7 patches cut from one gastric biopsy slide · scanned at ×20 · H&E stain.
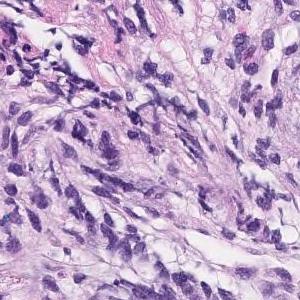
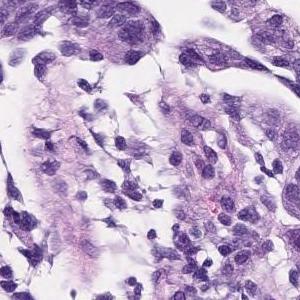
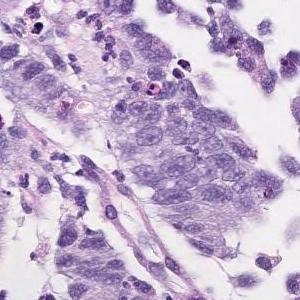
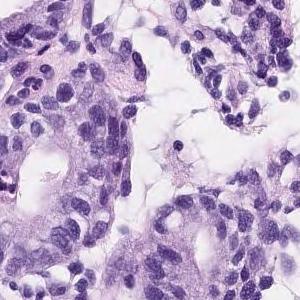
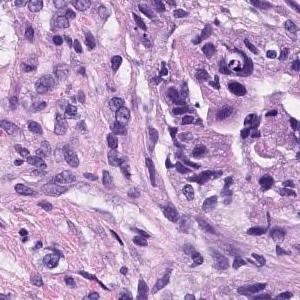
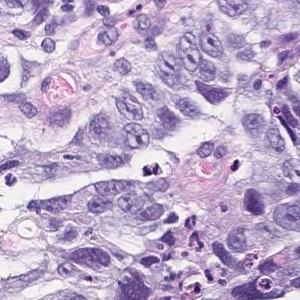
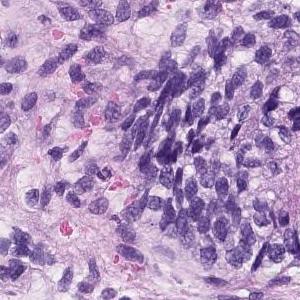
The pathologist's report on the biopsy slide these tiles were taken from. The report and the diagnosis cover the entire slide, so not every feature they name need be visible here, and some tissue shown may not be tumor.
Tumor cells are large, highly columnar, large club-shaped nuclei, and are associated with chromatin aggregation. Papillary adenocarcinoma.
